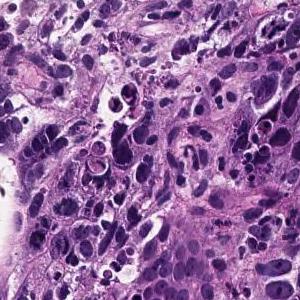
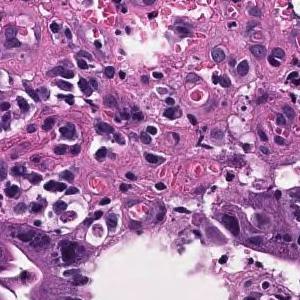
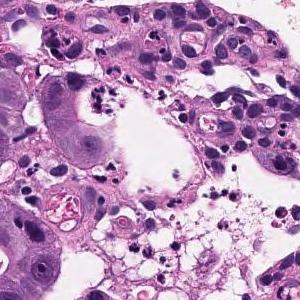
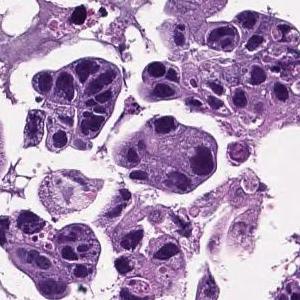
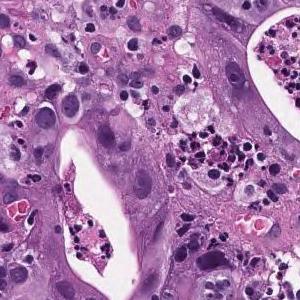
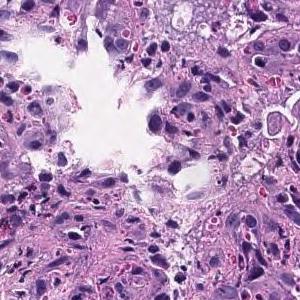
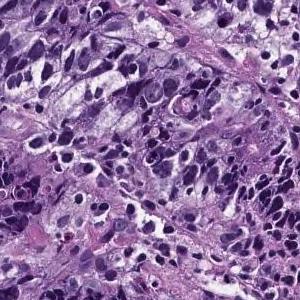
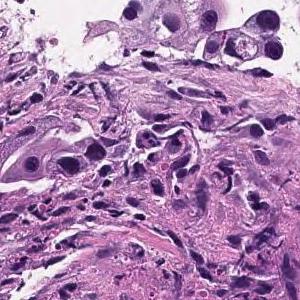
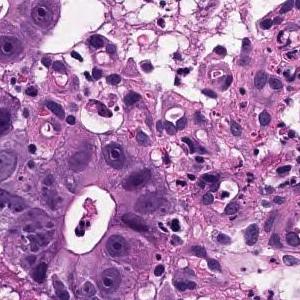
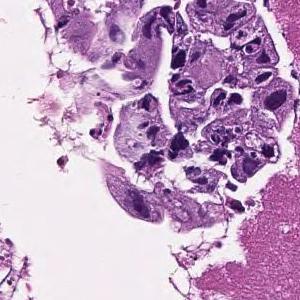
10 patches cut from one gastric biopsy slide; 300 × 300 pixels each.
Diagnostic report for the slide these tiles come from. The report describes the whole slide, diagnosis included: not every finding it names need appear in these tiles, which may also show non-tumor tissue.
In the superficial epithelium, medium to small irregular gland ducts are formed, and in some cases, the ducts are fused to show solid alveolar lesions and infiltrating tumor tissue is observed. Moderately to poorly differentiated adenocarcinoma
